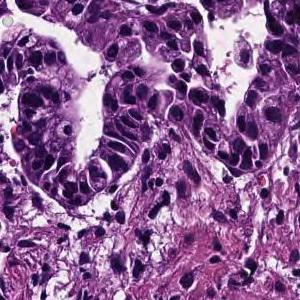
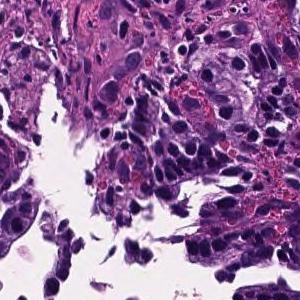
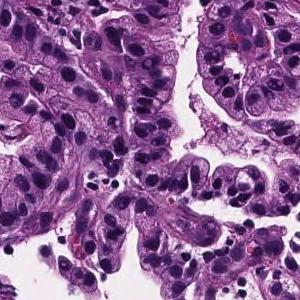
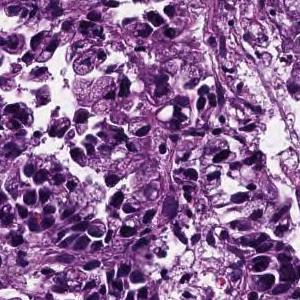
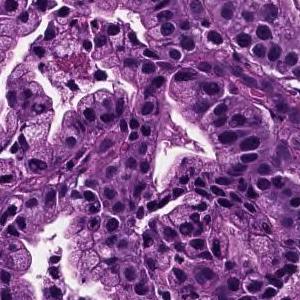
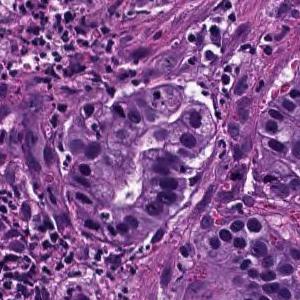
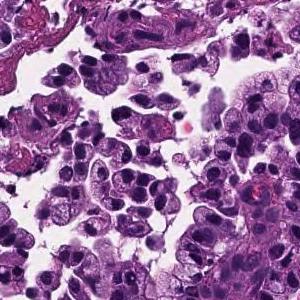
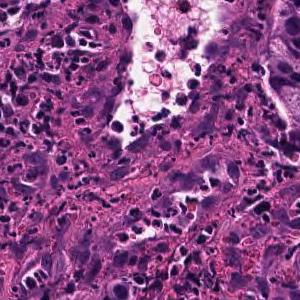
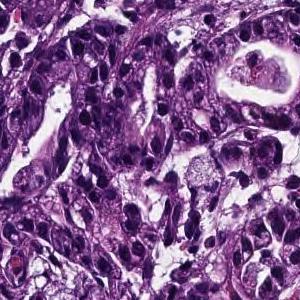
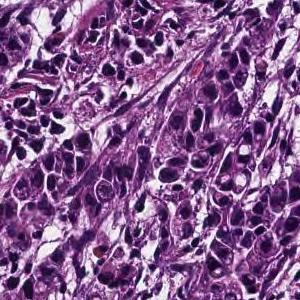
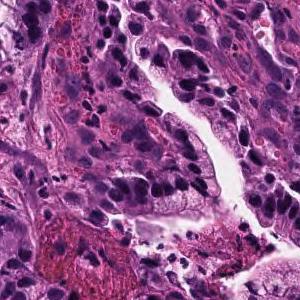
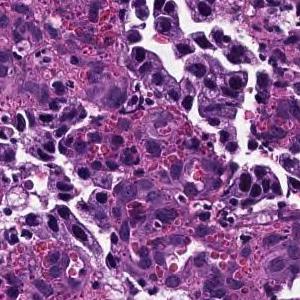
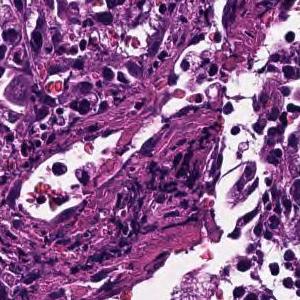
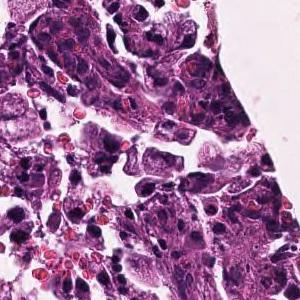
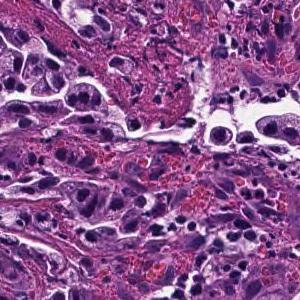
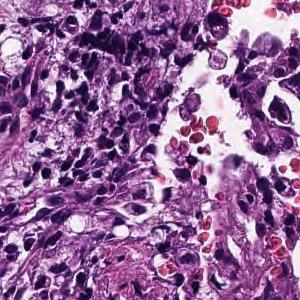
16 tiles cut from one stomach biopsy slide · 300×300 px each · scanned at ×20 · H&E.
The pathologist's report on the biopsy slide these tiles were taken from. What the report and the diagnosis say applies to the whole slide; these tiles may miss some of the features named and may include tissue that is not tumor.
Tumor cells are large, highly columnar, large club-shaped nuclei, and are associated with chromatin aggregation. Papillary adenocarcinoma.
